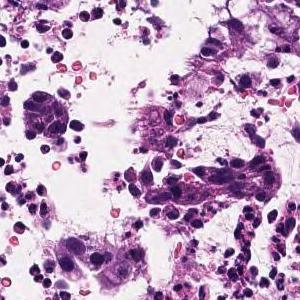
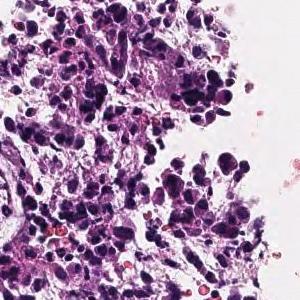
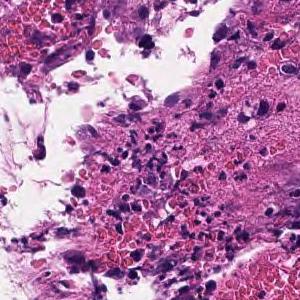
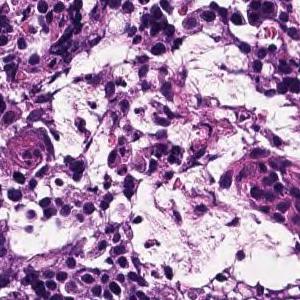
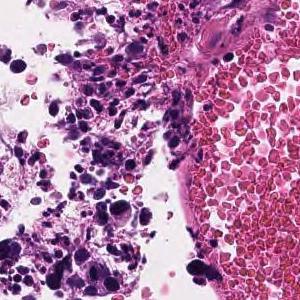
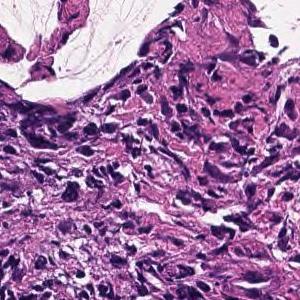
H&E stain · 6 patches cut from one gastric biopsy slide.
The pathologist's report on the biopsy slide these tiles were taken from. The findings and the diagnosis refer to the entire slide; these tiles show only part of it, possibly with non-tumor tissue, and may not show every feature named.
The superficial epithelium shows a large sheet-like shape, and some tumor tissue infiltrates with small irregular ducts. Poorly differentiated adenocarcinoma, solid-type
Classified as poorly differentiated adenocarcinoma, solid type (Japanese Classification of Gastric Carcinoma). The WHO 2019 equivalent is tubular adenocarcinoma, poorly differentiated.
